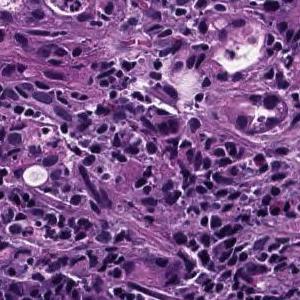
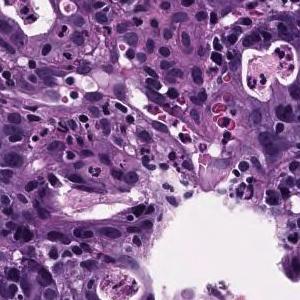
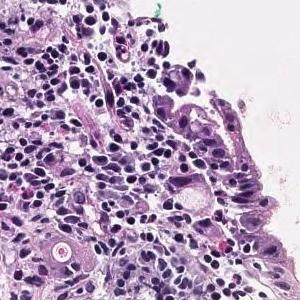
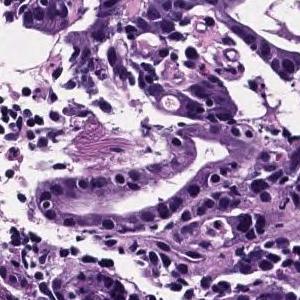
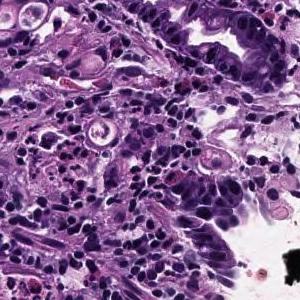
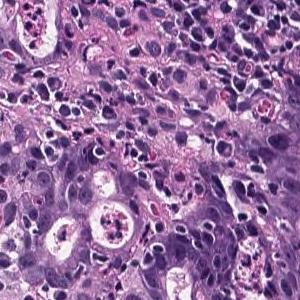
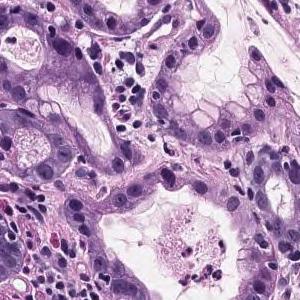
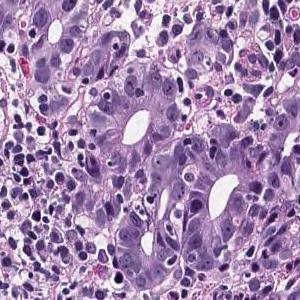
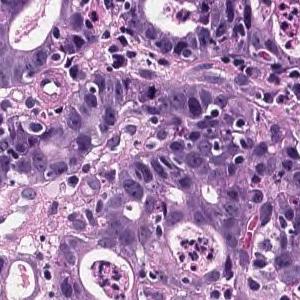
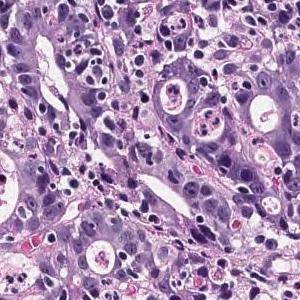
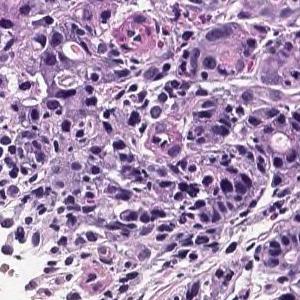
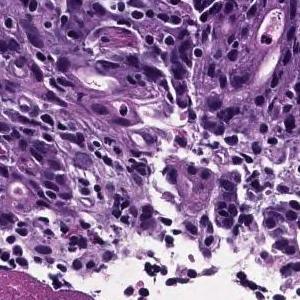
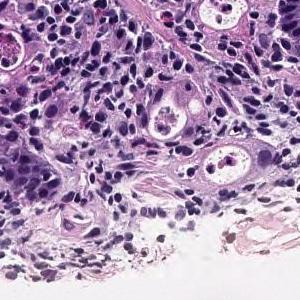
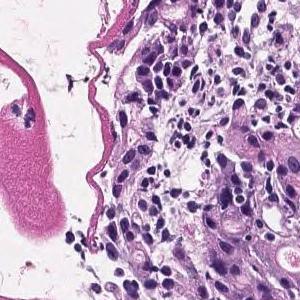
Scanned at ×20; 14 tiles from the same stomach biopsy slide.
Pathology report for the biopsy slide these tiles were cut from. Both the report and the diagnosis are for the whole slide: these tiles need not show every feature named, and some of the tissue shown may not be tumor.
In the superficial epithelium, tumor tissue that invades by forming medium-sized to small, irregular ducts is observed. moderately differentiated tubular adenocarcinoma.
